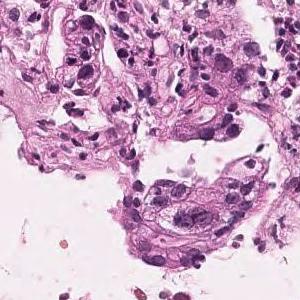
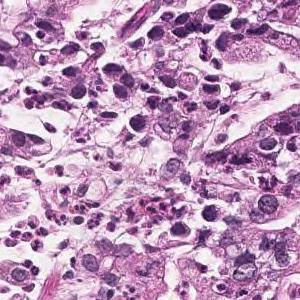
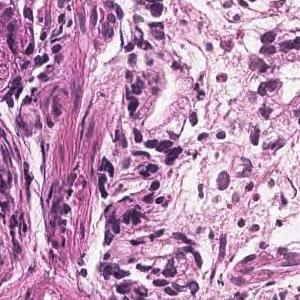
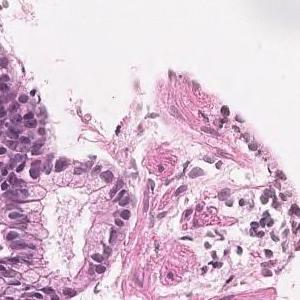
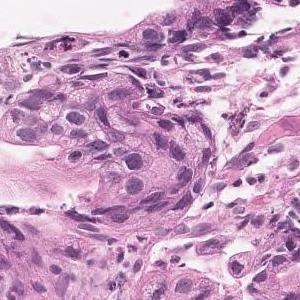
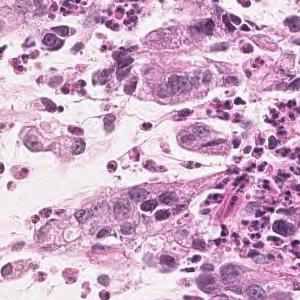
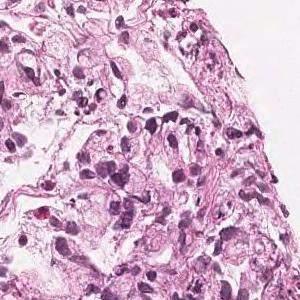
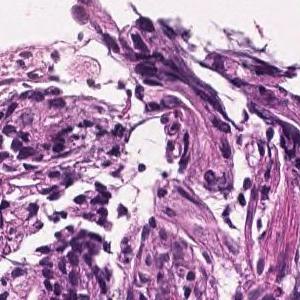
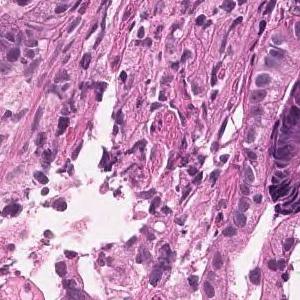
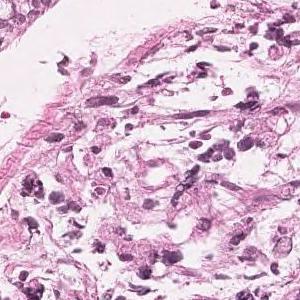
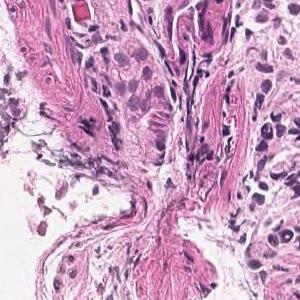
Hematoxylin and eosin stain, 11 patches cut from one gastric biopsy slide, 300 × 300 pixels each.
Pathology report for the slide these tiles were cut from. Both the report and the diagnosis are for the whole slide: these tiles need not show every feature named, and some of the tissue shown may not be tumor.
In the superficial epithelium, medium to small irregular gland ducts are formed, and in some cases, the ducts are fused to show solid alveolar lesions and infiltrating tumor tissue is observed. Moderately to poorly differentiated adenocarcinoma
